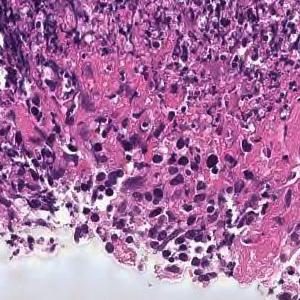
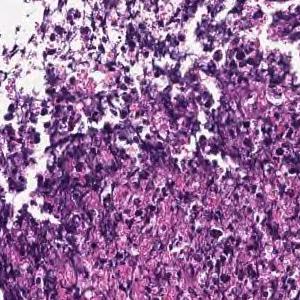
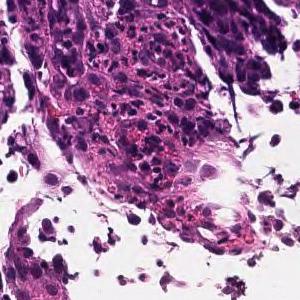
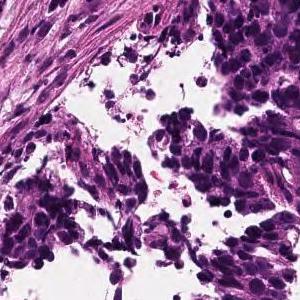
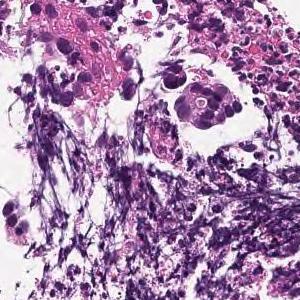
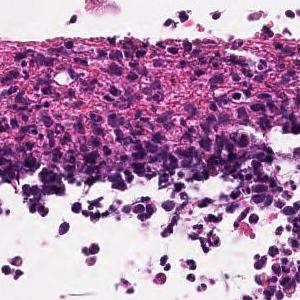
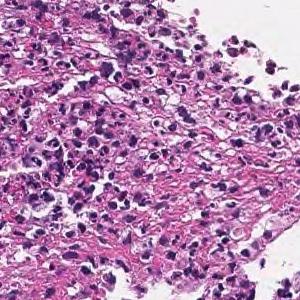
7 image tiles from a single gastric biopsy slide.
Diagnostic report for the slide these tiles come from. Both the report and the diagnosis are for the whole slide: these tiles need not show every feature named, and some of the tissue shown may not be tumor.
In the superficial epithelium, tumor tissue that invades by forming medium-sized to small, irregular ducts is observed. moderately differentiated tubular adenocarcinoma.
